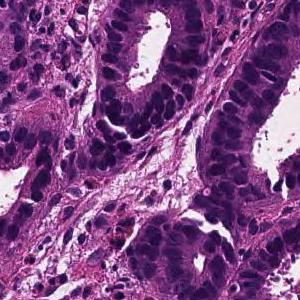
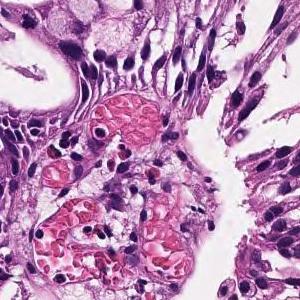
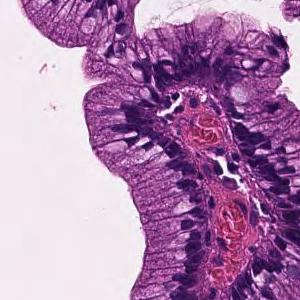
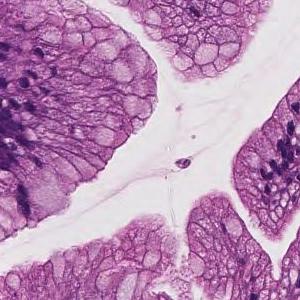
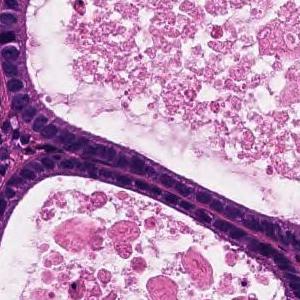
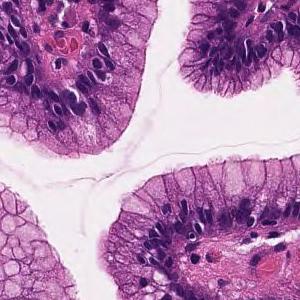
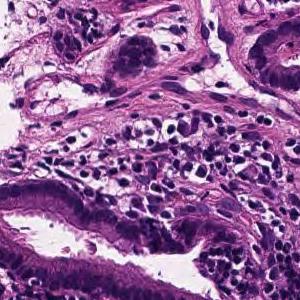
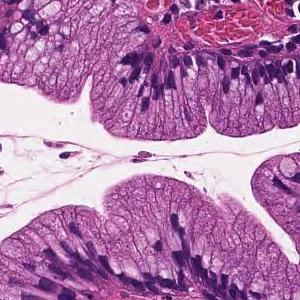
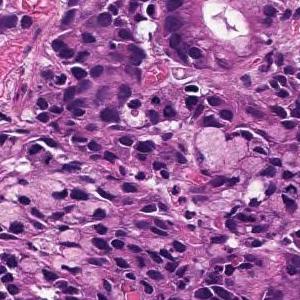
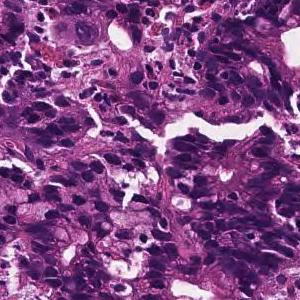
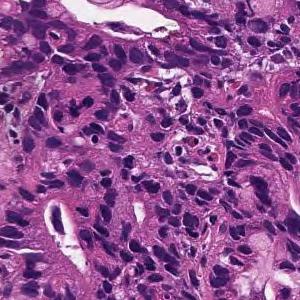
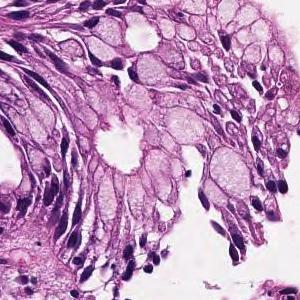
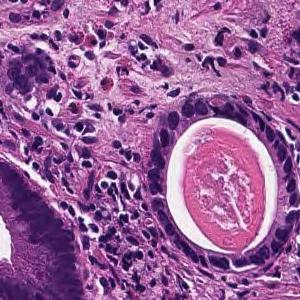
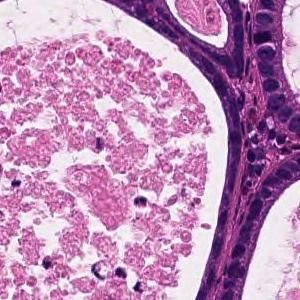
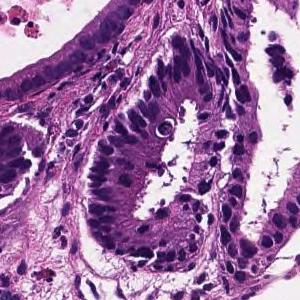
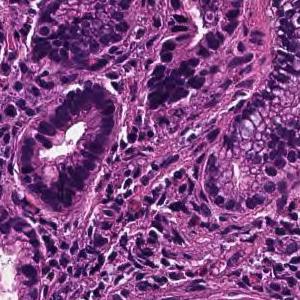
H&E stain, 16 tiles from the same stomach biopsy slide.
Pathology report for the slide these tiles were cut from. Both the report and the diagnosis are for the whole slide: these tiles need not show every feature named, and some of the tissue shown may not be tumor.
On the superficial epithelium, tumor tissue consisting of medium-sized and irregular glandular ducts partially fused and infiltrated is observed. Well to moderately differentiated tubular adenocarcinoma (well differentiated tubular adenocarcinoma-moderately differentiated tubular adenocarcinoma)
Tumor subtype: well to moderately differentiated tubular adenocarcinoma.
